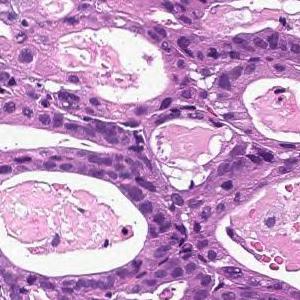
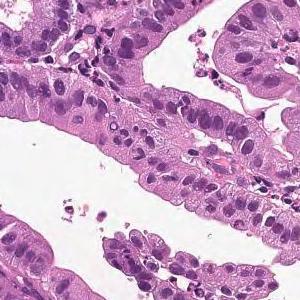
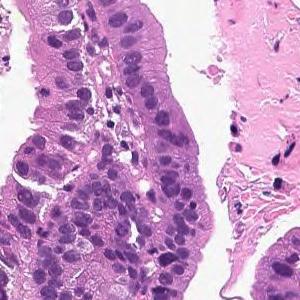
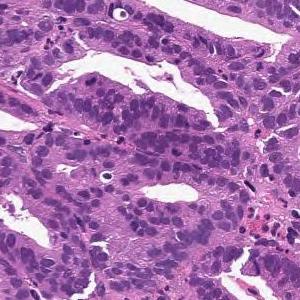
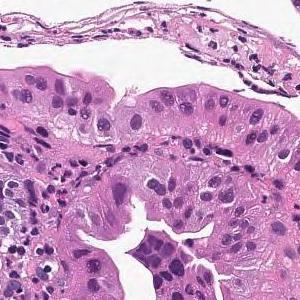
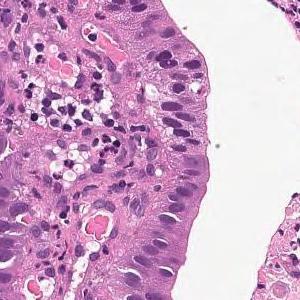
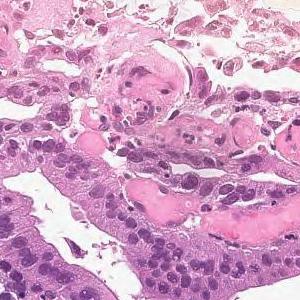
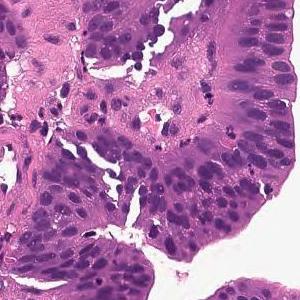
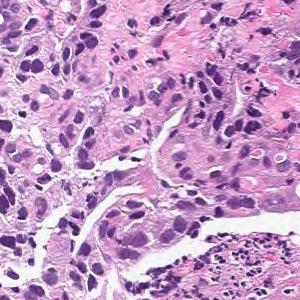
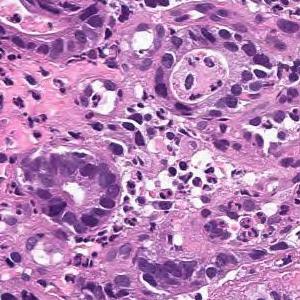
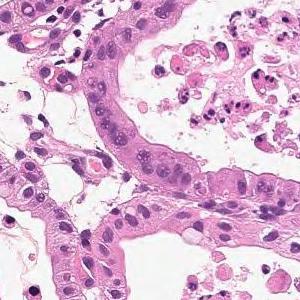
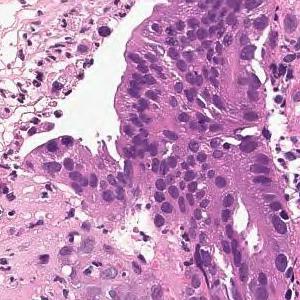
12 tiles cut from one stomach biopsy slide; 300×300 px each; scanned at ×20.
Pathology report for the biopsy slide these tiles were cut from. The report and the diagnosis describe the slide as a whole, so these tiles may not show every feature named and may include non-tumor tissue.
From the superficial epithelium to the muscularis mucosae, tumor tissue consisting of medium-sized and irregular glandular ducts infiltrating is observed. Well differentiated tubular adenocarcinoma
